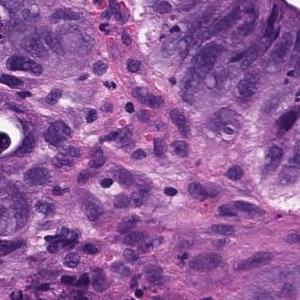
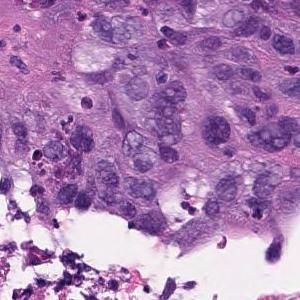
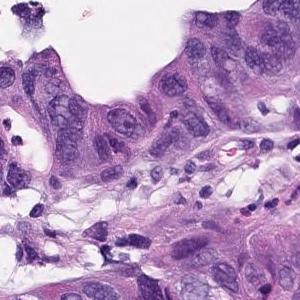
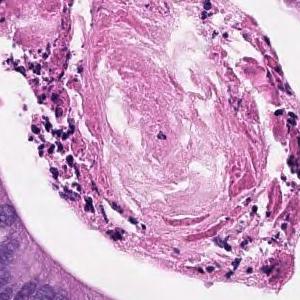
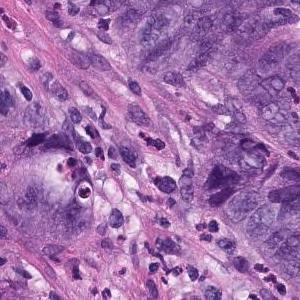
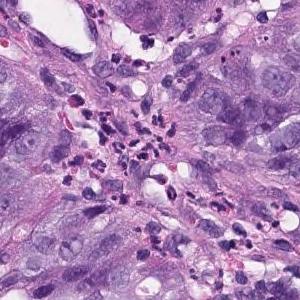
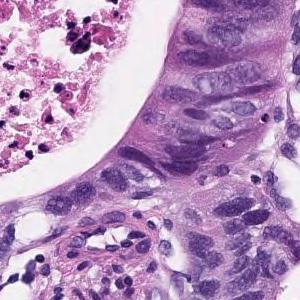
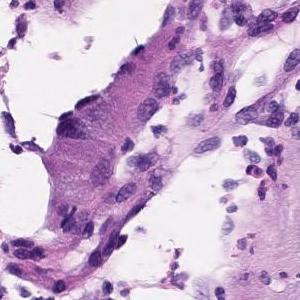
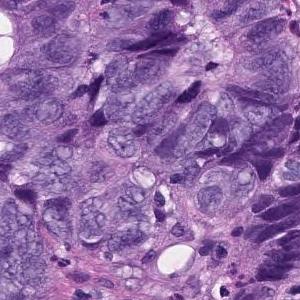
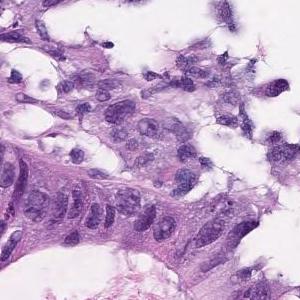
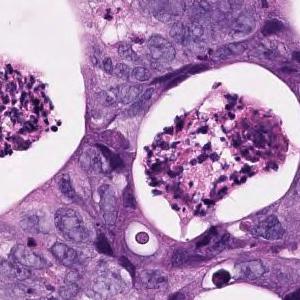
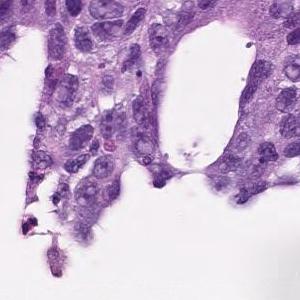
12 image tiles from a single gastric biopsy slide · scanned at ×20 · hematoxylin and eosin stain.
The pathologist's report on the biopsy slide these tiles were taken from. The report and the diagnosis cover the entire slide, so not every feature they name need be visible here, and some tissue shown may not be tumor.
In the superficial epithelium, tumor tissue that invades by forming medium-sized to small, irregular ducts is observed. Moderately differentiated adenocarcinoma.
Tumor subtype: moderately differentiated tubular adenocarcinoma.
